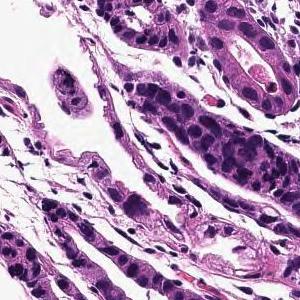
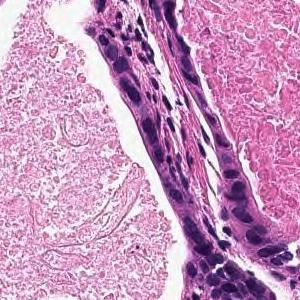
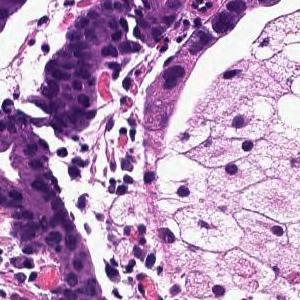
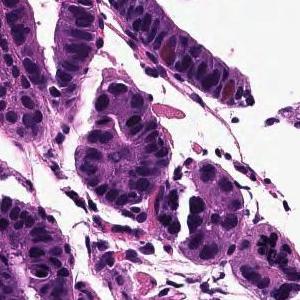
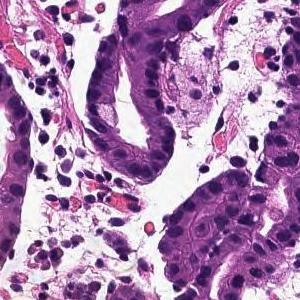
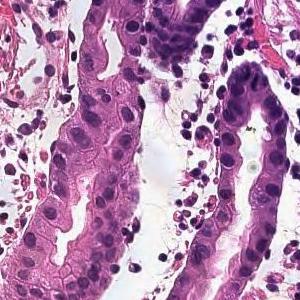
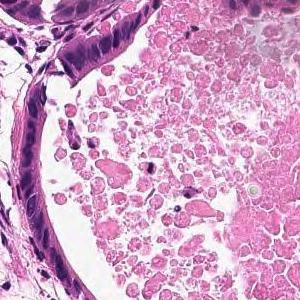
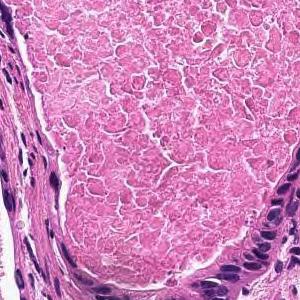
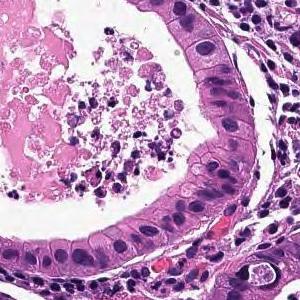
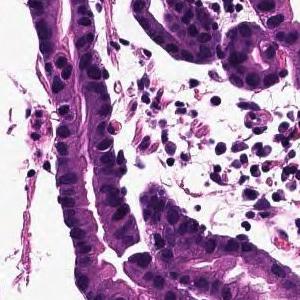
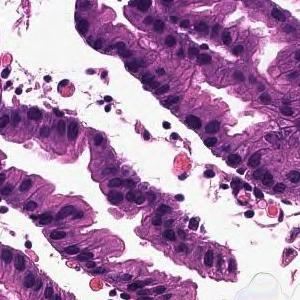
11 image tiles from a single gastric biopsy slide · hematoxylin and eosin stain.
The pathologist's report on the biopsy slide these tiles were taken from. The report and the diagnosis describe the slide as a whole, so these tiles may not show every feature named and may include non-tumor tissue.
From the superficial epithelium to the muscularis mucosae, tumor tissue consisting of medium-sized and irregular glandular ducts infiltrating is observed. Well differentiated tubular adenocarcinoma
